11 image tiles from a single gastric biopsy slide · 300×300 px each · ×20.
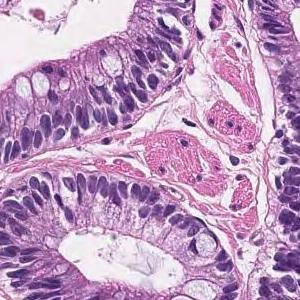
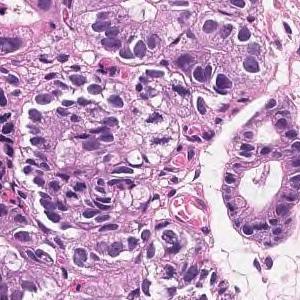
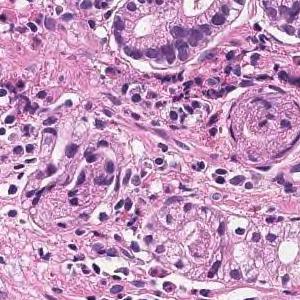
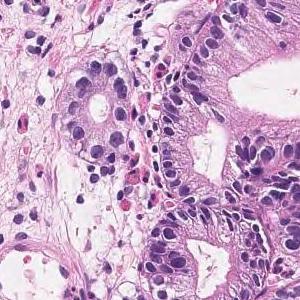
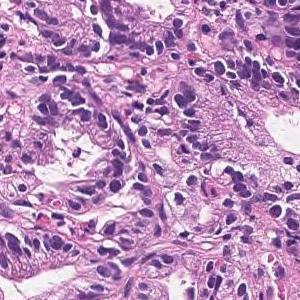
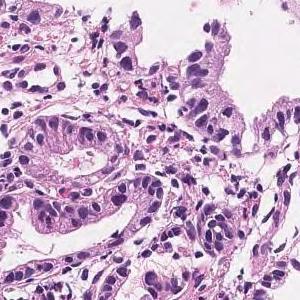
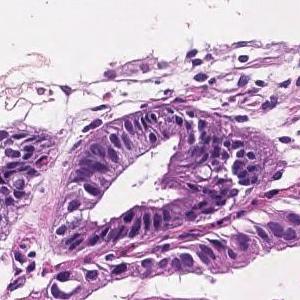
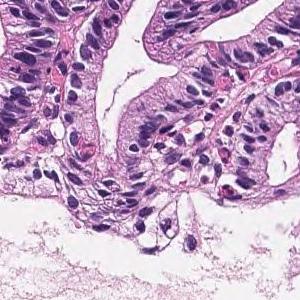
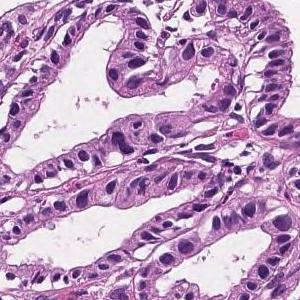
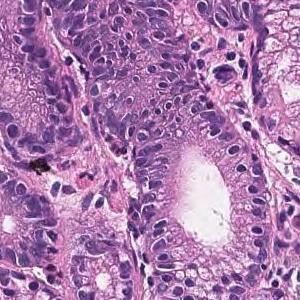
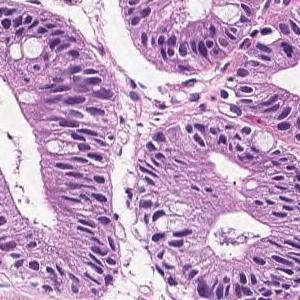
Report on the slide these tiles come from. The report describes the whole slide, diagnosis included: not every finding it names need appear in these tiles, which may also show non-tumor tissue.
In the superficial epithelium, tumor tissue that invades by forming medium-sized to small, irregular ducts is observed. Well differentiated tubular adenocarcinoma.
